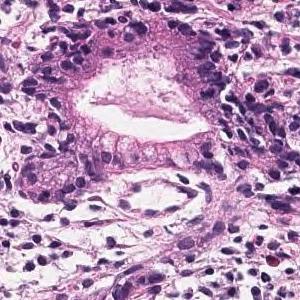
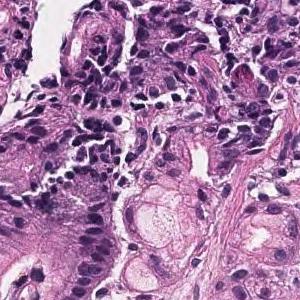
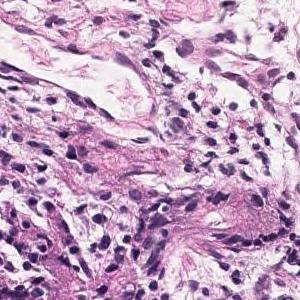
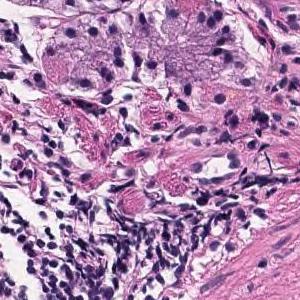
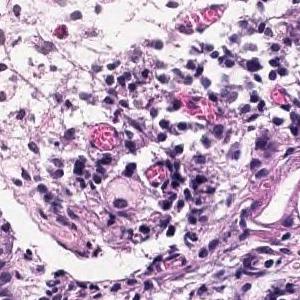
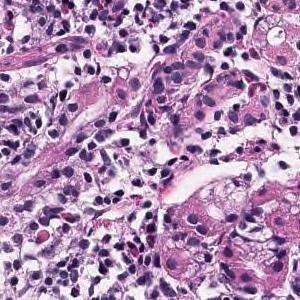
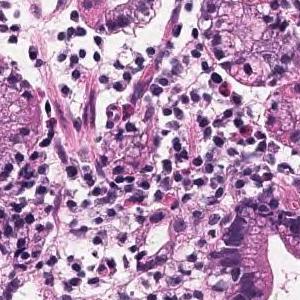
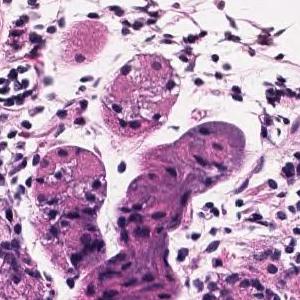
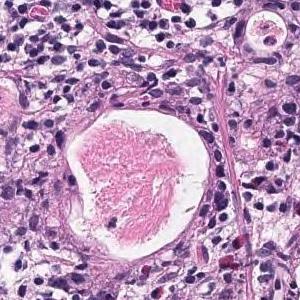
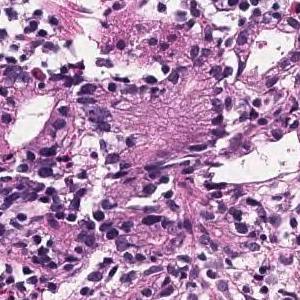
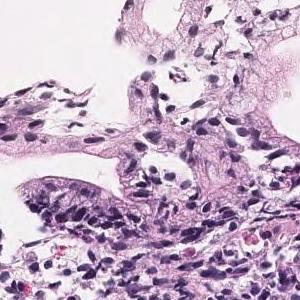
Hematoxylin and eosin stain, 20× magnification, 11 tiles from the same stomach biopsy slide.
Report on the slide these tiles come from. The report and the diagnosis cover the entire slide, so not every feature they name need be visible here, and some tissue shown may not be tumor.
Tumor tissue that grows and grows is observed, showing a medium-sized round or irregular duct. moderately differentiated tubular adenocarcinoma
